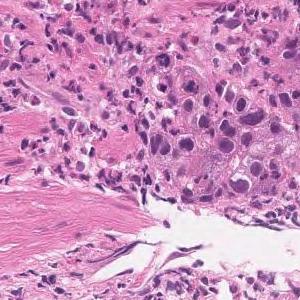
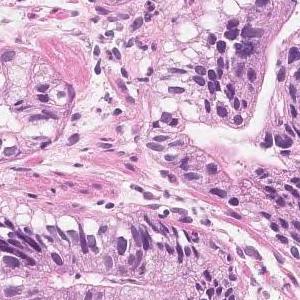
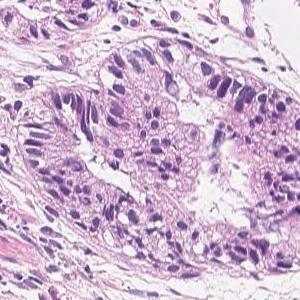
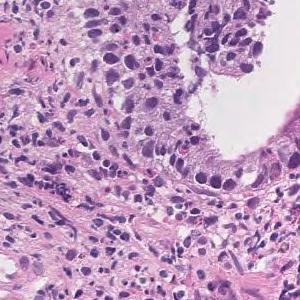
H&E · ×20 · 4 image tiles from a single gastric biopsy slide · 300×300 px each.
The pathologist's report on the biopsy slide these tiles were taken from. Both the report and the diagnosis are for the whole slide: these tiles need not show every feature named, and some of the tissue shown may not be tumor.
In the superficial epithelium, tumor tissue that invades by forming medium-sized to small, irregular ducts is observed. Moderately differentiated adenocarcinoma.
Classified as moderately differentiated tubular adenocarcinoma.
